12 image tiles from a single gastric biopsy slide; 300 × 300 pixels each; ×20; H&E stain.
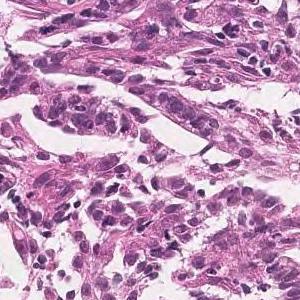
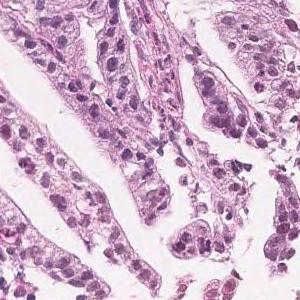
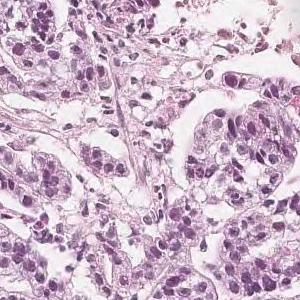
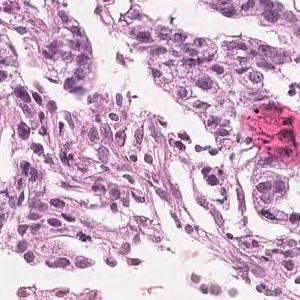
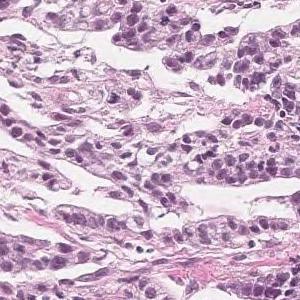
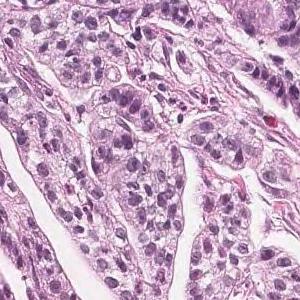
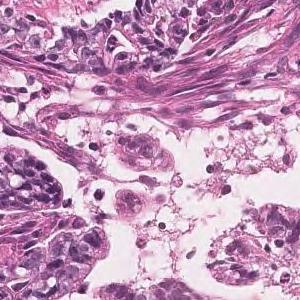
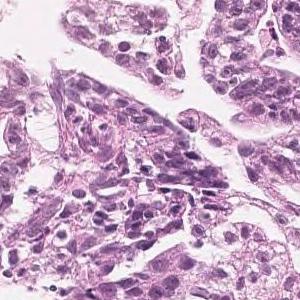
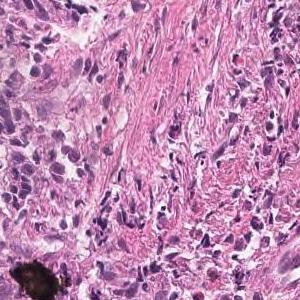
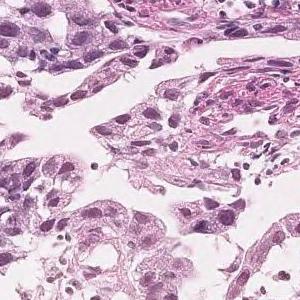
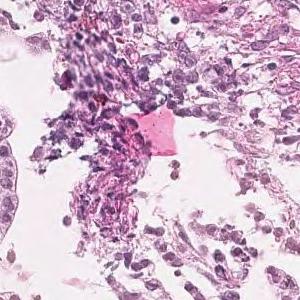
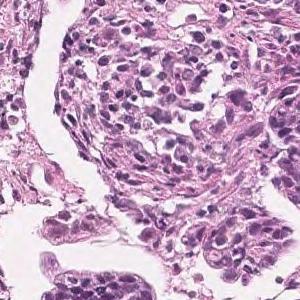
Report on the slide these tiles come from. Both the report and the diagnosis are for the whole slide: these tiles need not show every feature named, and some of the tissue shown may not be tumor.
Tumor tissue in which highly columnar atypical epithelial cells with nuclear enlargement and increased nuclear chromatin show papillary to papillary ductal structure and proliferate is observed. Papillary adenocarcinoma.
